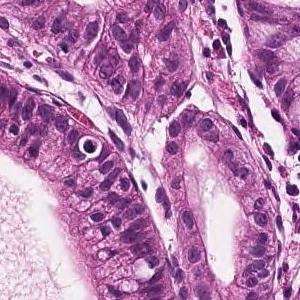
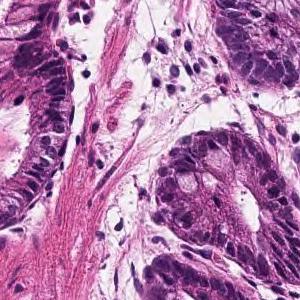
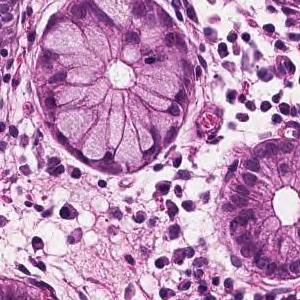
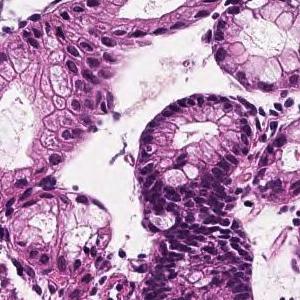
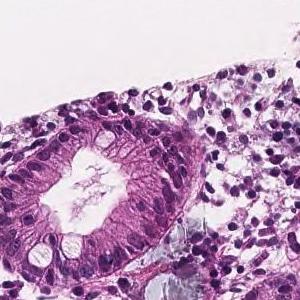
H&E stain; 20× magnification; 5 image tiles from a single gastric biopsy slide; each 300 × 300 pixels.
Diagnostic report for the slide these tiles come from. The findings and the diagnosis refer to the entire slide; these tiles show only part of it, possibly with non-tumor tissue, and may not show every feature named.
In the superficial epithelium, tumor tissue that invades by forming medium-sized to small, irregular ducts is observed. Well differentiated tubular adenocarcinoma.
